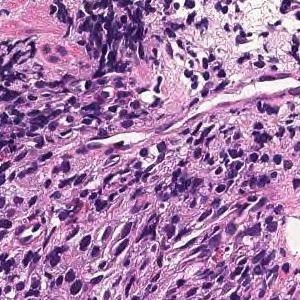
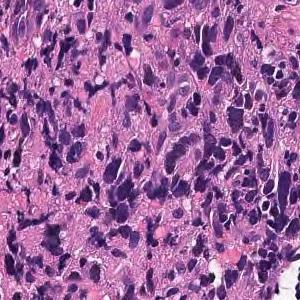
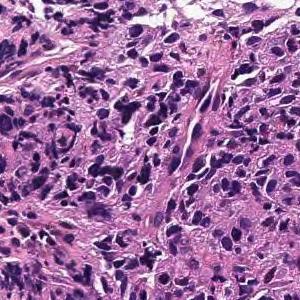
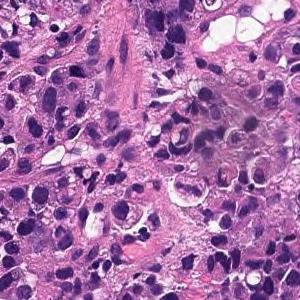
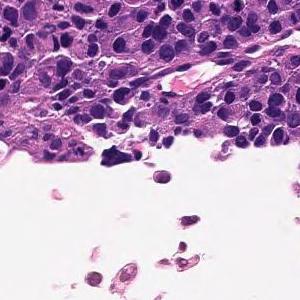
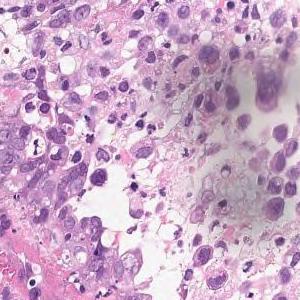
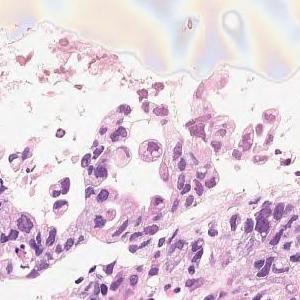
7 tiles cut from one stomach biopsy slide; each 300 × 300 pixels; H&E; ×20.
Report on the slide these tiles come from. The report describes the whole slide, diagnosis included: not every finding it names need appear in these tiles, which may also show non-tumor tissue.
Large sheet-like or diffusely infiltrating tumor tissue is found in the superficial epithelium. Poorly differentiated adenocarcinoma, solid-type
Histologic type: Poorly differentiated adenocarcinoma, solid type (Japanese Classification of Gastric Carcinoma). The WHO 2019 equivalent is tubular adenocarcinoma, poorly differentiated.
